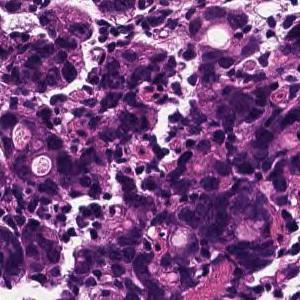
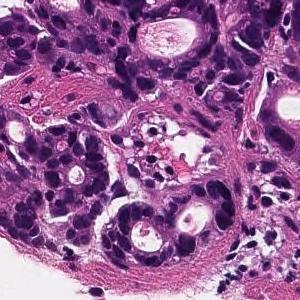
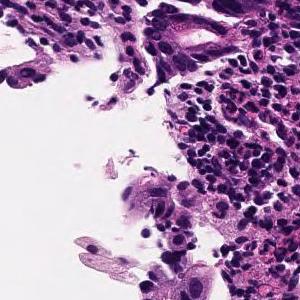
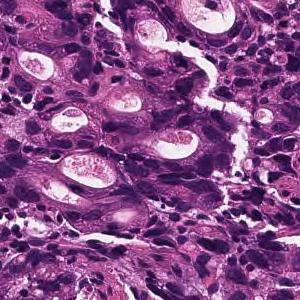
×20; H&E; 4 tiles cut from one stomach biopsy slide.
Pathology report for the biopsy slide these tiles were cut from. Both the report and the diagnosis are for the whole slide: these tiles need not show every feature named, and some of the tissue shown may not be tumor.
In the superficial epithelium, tumor tissue that invades by forming medium-sized to small, irregular ducts is observed. moderately differentiated tubular adenocarcinoma.
